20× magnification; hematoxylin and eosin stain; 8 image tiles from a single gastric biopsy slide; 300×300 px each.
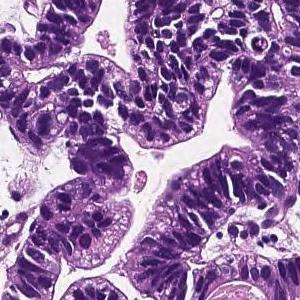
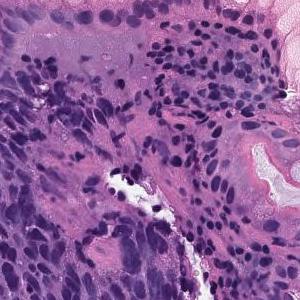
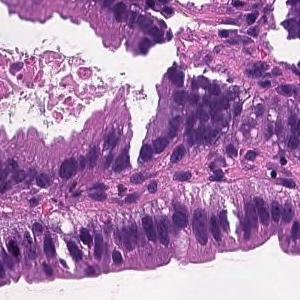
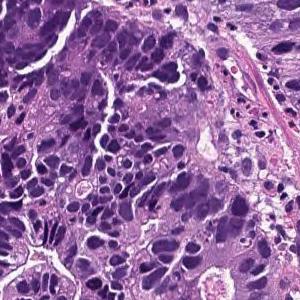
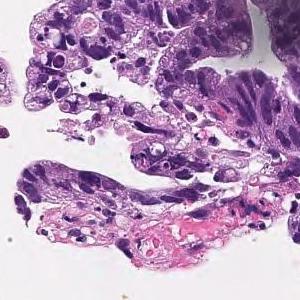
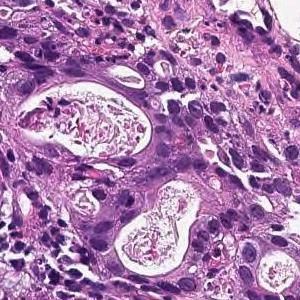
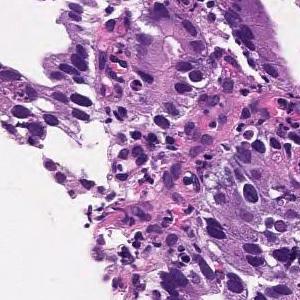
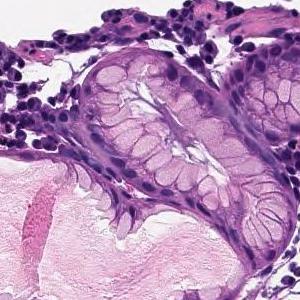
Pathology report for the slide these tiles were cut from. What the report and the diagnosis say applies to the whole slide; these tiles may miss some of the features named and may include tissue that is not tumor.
In the superficial epithelium, tumor tissue that invades by forming medium-sized to small, irregular ducts is observed. moderately differentiated tubular adenocarcinoma.
